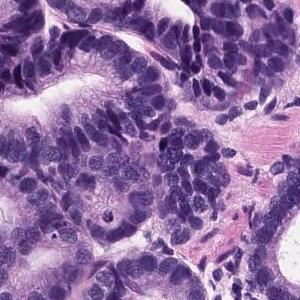
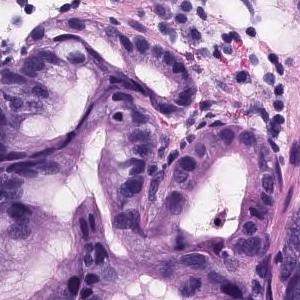
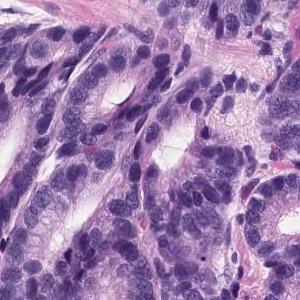
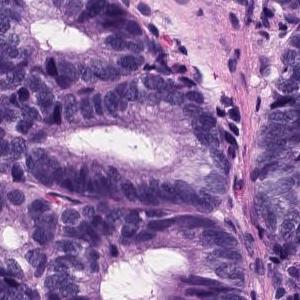
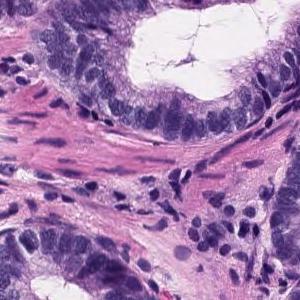
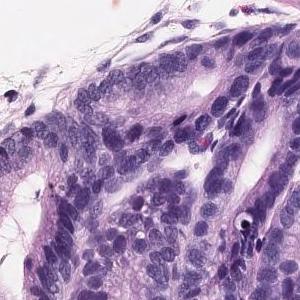
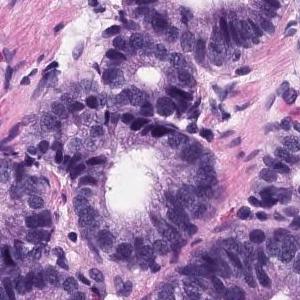
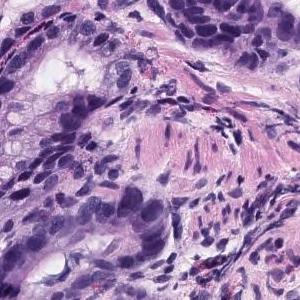
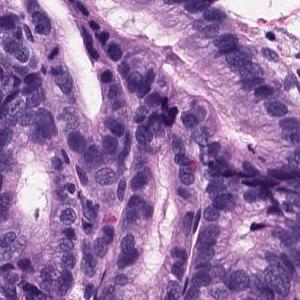
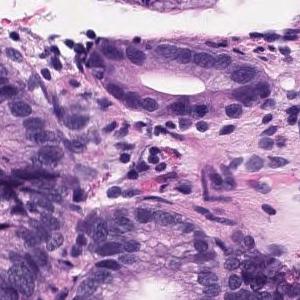
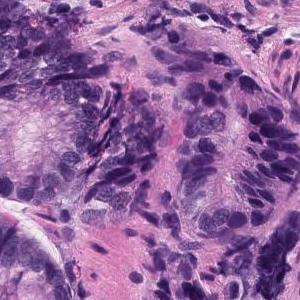
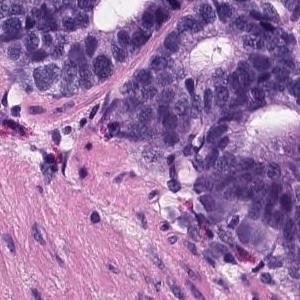
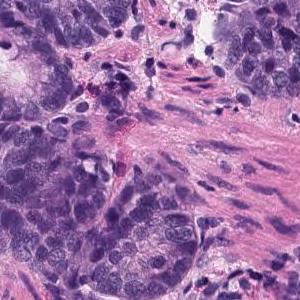
13 image tiles from a single gastric biopsy slide, 300×300 px each.
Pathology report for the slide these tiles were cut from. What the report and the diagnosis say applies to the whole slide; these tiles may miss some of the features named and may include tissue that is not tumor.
Tumor tissue consisting of medium-sized and irregular ducts is observed infiltrating in the superficial epithelium. Tumor cells are highly columnar, with nuclei aligned basolaterally and polarized. Well differentiated tubular adenocarcinoma.
